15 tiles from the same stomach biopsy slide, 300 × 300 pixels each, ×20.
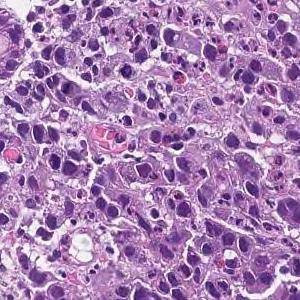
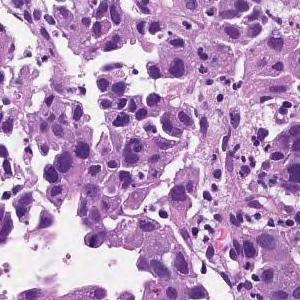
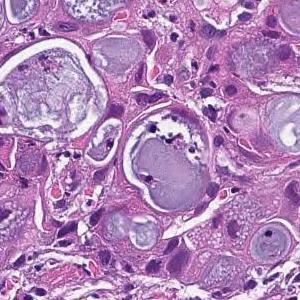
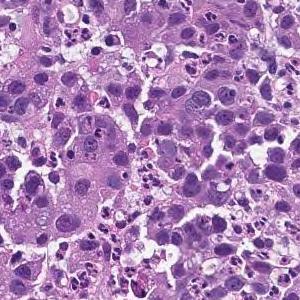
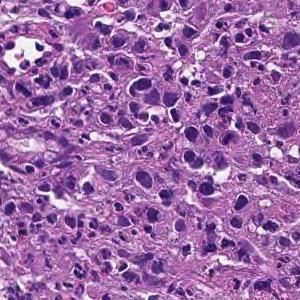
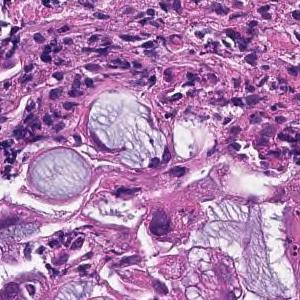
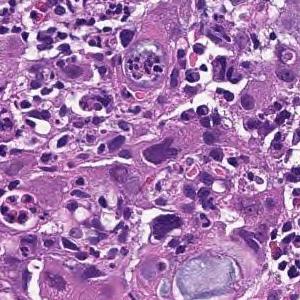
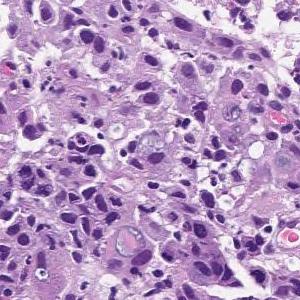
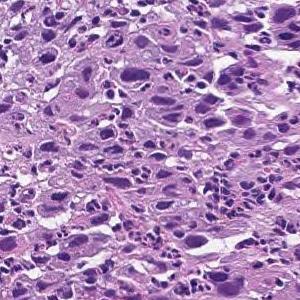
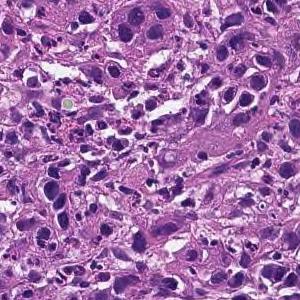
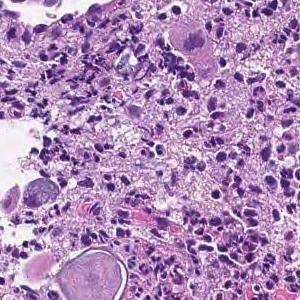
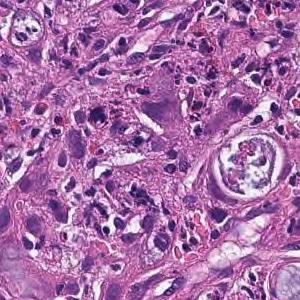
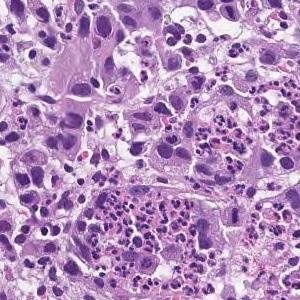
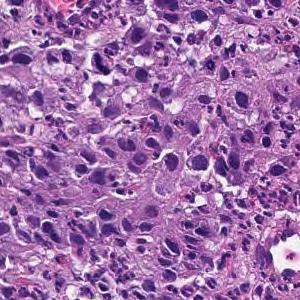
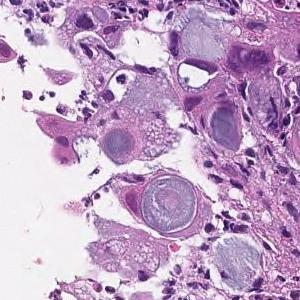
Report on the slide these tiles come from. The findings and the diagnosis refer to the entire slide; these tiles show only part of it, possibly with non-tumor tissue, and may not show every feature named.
The superficial epithelium shows a large sheet-like shape, and some tumor tissue infiltrates with small irregular ducts. Poorly differentiated adenocarcinoma, solid-type
Histologic type: Poorly differentiated adenocarcinoma, solid type. This name comes from the Japanese Classification of Gastric Carcinoma; the WHO 2019 classification calls it tubular adenocarcinoma, poorly differentiated.
